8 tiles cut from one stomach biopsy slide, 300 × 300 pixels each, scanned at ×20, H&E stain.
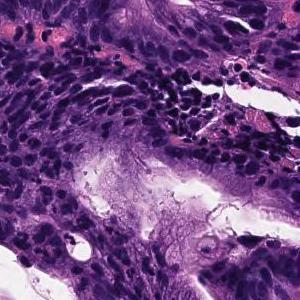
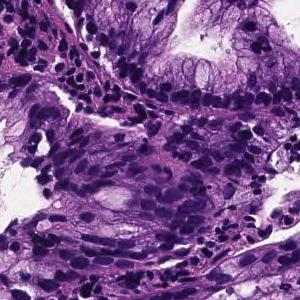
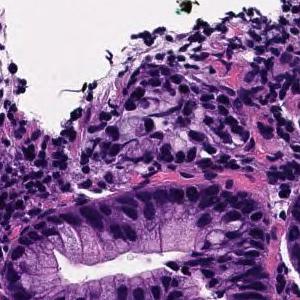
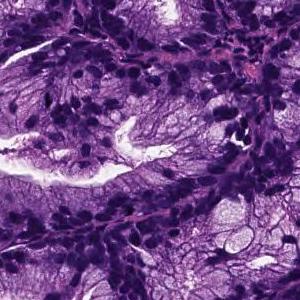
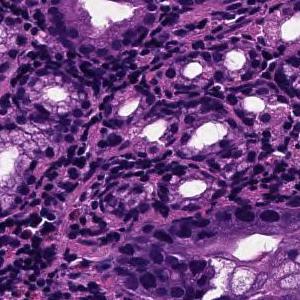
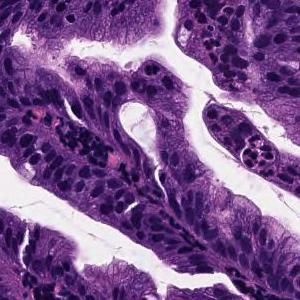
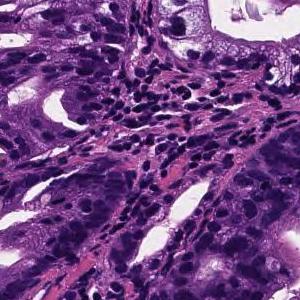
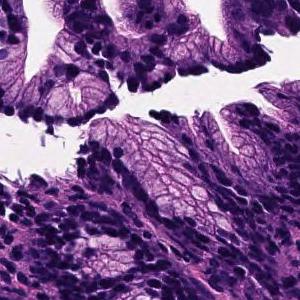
Pathology report for the biopsy slide these tiles were cut from. Both the report and the diagnosis are for the whole slide: these tiles need not show every feature named, and some of the tissue shown may not be tumor.
On the superficial epithelium, tumor tissue that infiltrates by forming medium-sized papillary or small irregular ducts is observed. Papillary adenocarcinoma
